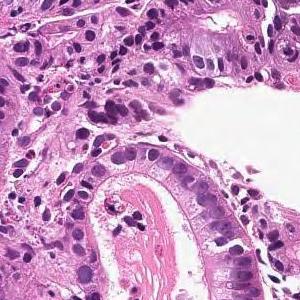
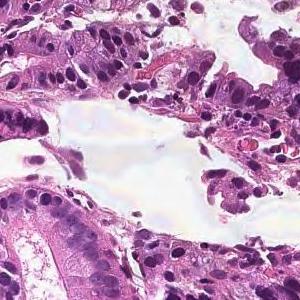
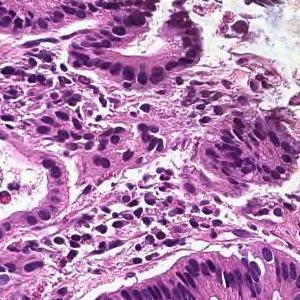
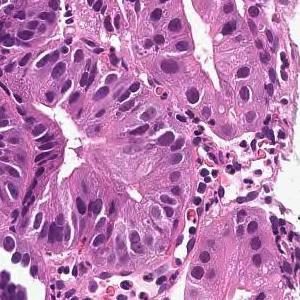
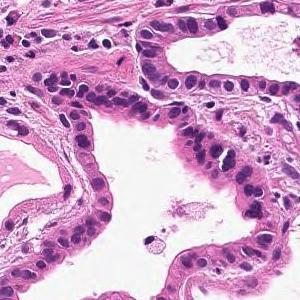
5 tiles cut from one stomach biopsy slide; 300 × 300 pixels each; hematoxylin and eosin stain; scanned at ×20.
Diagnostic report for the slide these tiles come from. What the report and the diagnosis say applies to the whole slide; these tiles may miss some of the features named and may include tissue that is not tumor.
From the superficial epithelium to the muscularis mucosae, tumor tissue consisting of medium-sized and irregular glandular ducts infiltrating is observed. Well differentiated tubular adenocarcinoma
